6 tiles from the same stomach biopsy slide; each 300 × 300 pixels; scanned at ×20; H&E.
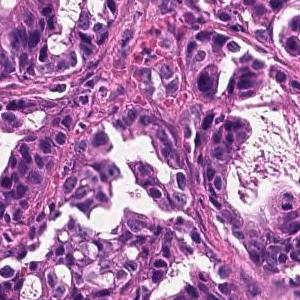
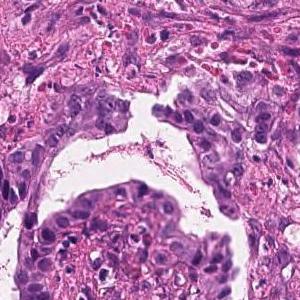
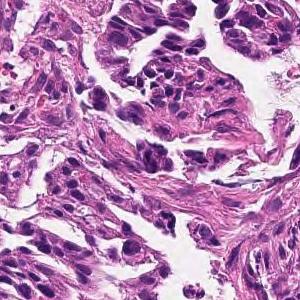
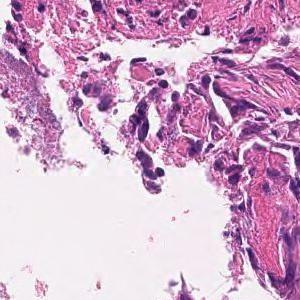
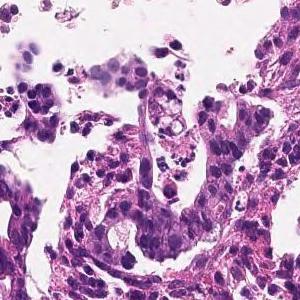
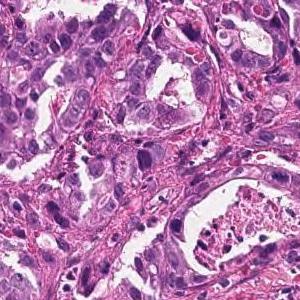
Report on the slide these tiles come from. The report and the diagnosis cover the entire slide, so not every feature they name need be visible here, and some tissue shown may not be tumor.
On the superficial epithelium, tumor tissue consisting of images of small to medium-sized and irregular tubules infiltrating with irregular fusion is observed. moderately differentiated tubular adenocarcinoma
